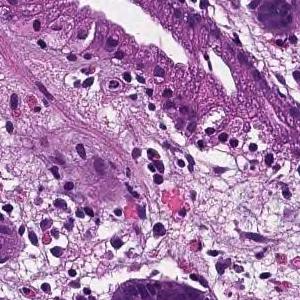
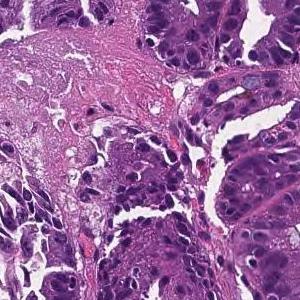
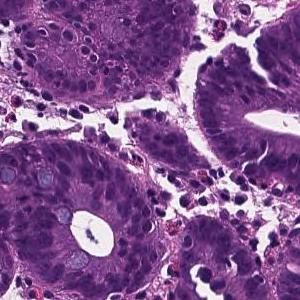
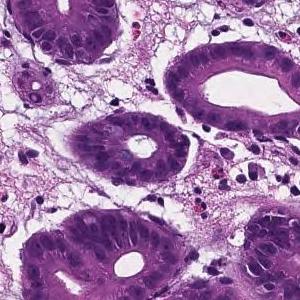
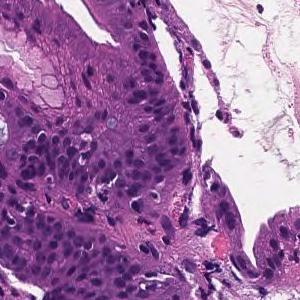
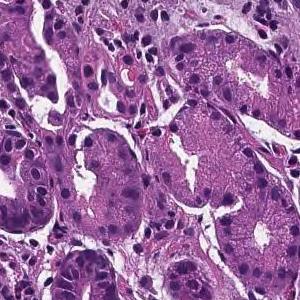
20× magnification · 6 tiles from the same stomach biopsy slide · each 300 × 300 pixels.
Pathology report for the biopsy slide these tiles were cut from. The report describes the whole slide, diagnosis included: not every finding it names need appear in these tiles, which may also show non-tumor tissue.
From the superficial epithelium to the muscularis mucosae, tumor tissue consisting of medium-sized and irregular glandular ducts infiltrating is observed. Well differentiated tubular adenocarcinoma
